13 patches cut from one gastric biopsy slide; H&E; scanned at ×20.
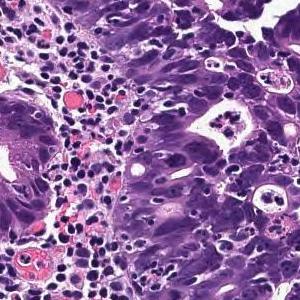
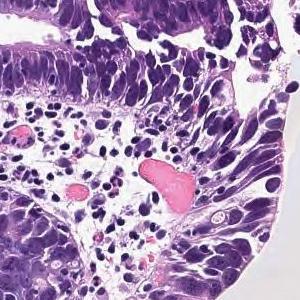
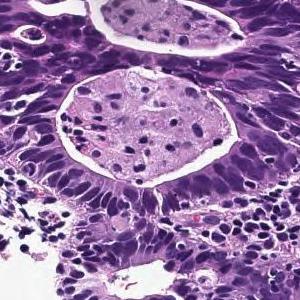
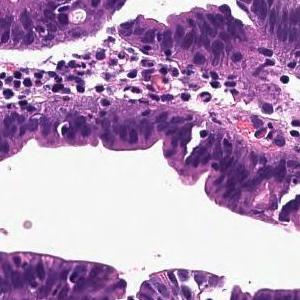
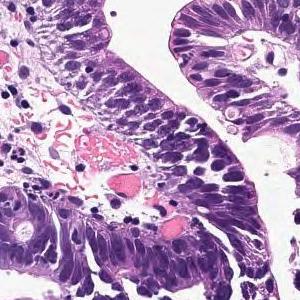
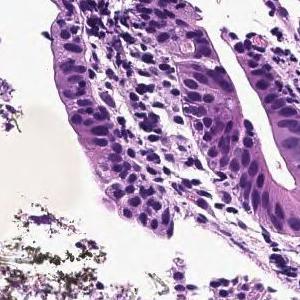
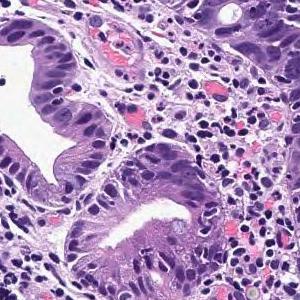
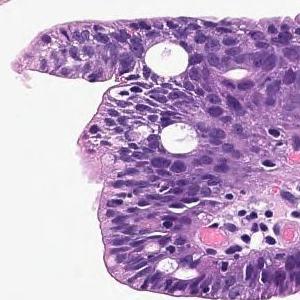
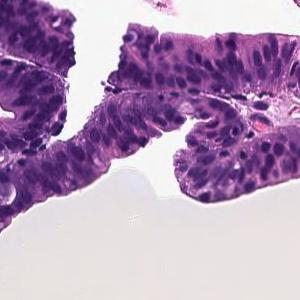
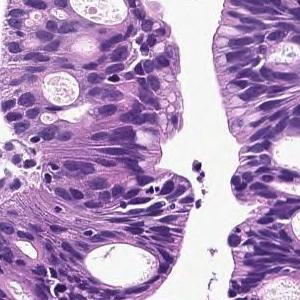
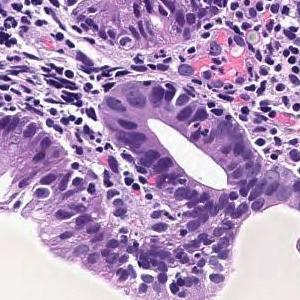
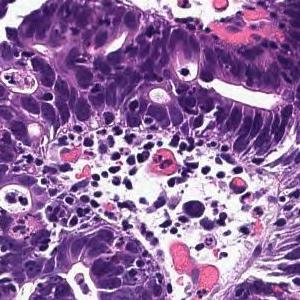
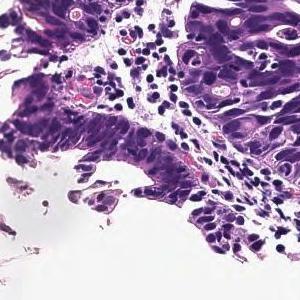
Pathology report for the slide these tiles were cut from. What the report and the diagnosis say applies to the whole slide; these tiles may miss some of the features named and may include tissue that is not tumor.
Infiltrating tumor tissue is observed in the superficial epithelium, showing large papillary structures or large and small ducts. Papillary adenocarcinoma
